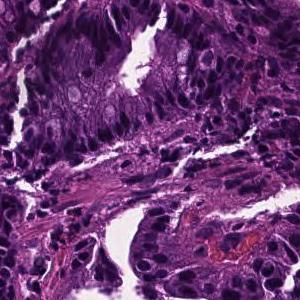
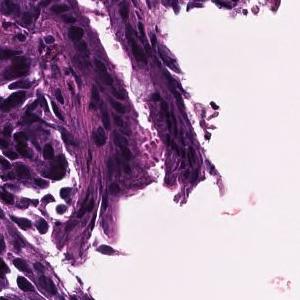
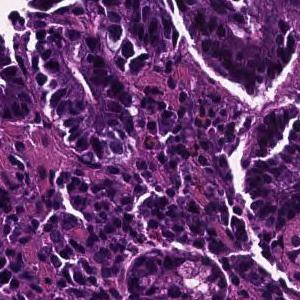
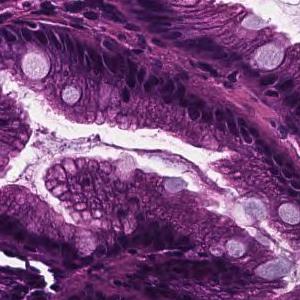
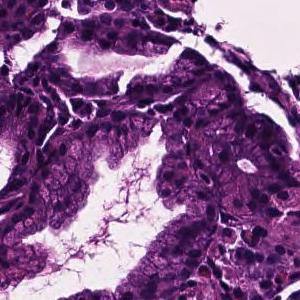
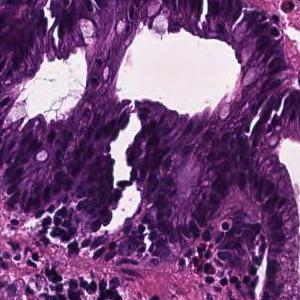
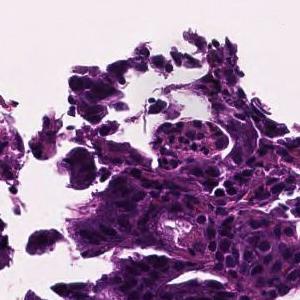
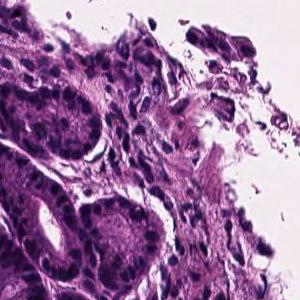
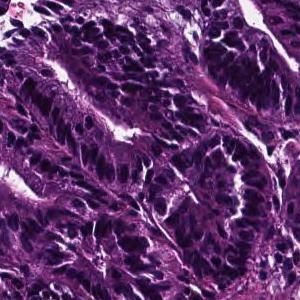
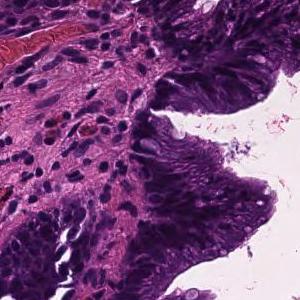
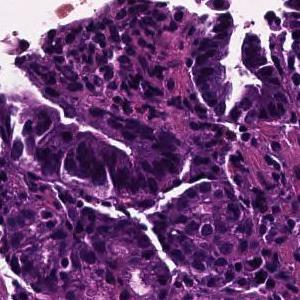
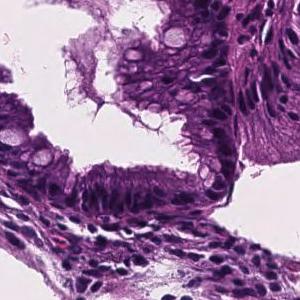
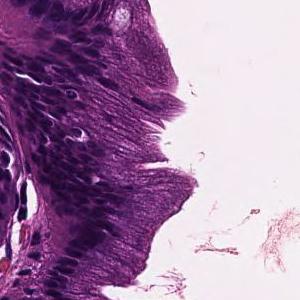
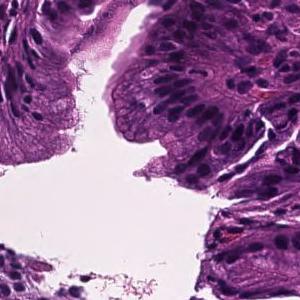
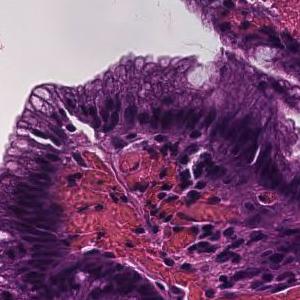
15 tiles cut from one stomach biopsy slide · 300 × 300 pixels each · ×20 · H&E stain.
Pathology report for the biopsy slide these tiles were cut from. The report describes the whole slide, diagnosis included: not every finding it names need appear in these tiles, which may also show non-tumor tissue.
In the superficial epithelium, tumor tissue that invades by forming medium-sized to small, irregular ducts is observed. Well differentiated tubular adenocarcinoma.
